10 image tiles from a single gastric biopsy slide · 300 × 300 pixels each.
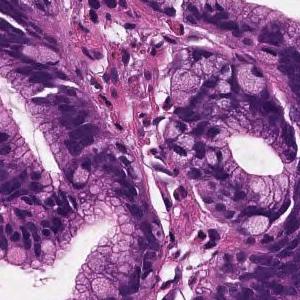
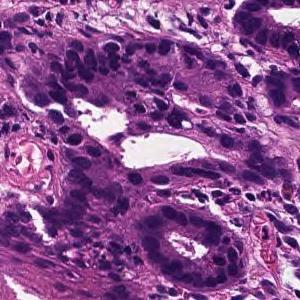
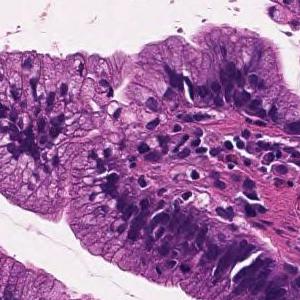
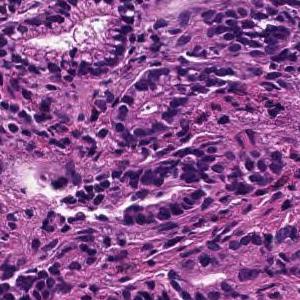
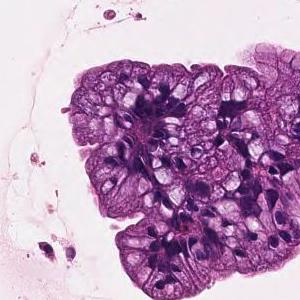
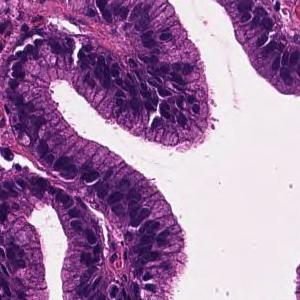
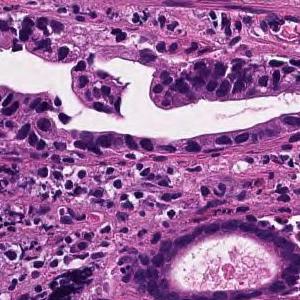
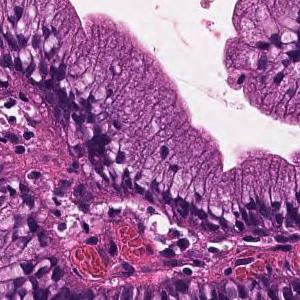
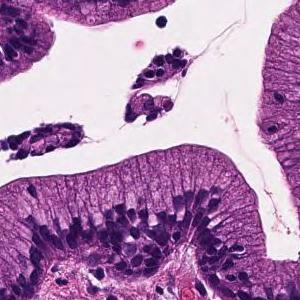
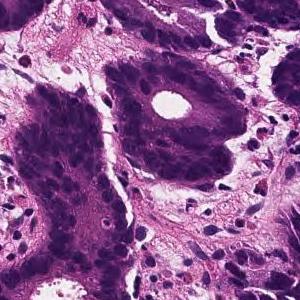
Pathology report for the biopsy slide these tiles were cut from. The findings and the diagnosis refer to the entire slide; these tiles show only part of it, possibly with non-tumor tissue, and may not show every feature named.
On the superficial epithelium, tumor tissue consisting of medium-sized and irregular glandular ducts partially fused and infiltrated is observed. Well to moderately differentiated tubular adenocarcinoma (well differentiated tubular adenocarcinoma-moderately differentiated tubular adenocarcinoma)
Subtype: Well to moderately differentiated tubular adenocarcinoma.
